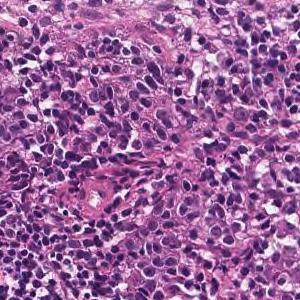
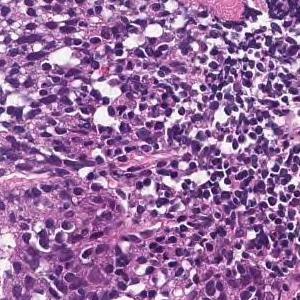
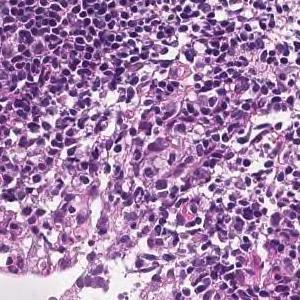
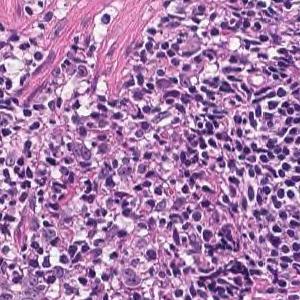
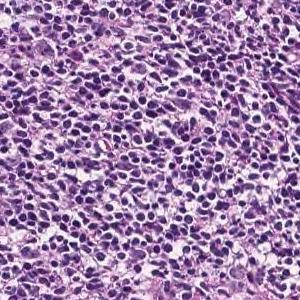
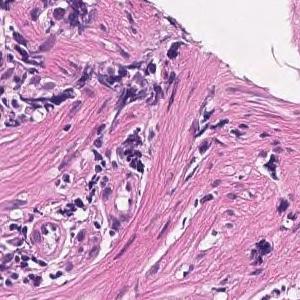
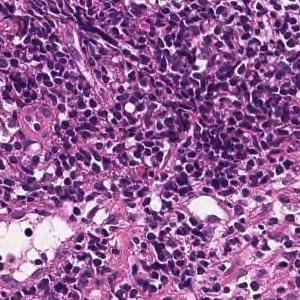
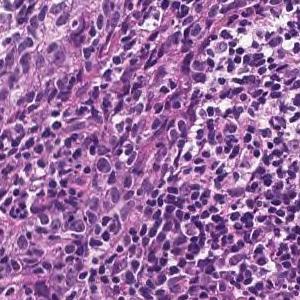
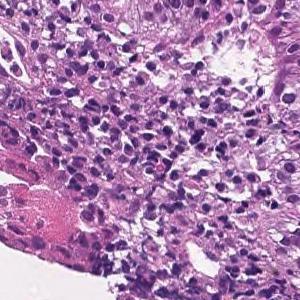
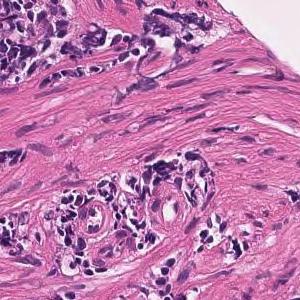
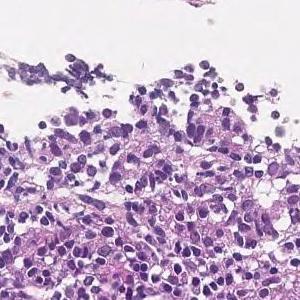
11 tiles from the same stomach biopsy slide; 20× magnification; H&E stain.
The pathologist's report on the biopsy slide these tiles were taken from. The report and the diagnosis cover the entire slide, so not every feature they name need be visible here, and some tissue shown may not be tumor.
Tumor tissue consisting of cord-like or small, irregular glandular ducts fused and infiltrated is observed in the superficial epithelium. Poorly differentiated adenocarcinoma, non-solid type
The non-solid type named here is a Japanese Classification of Gastric Carcinoma category.
